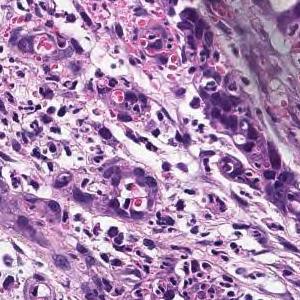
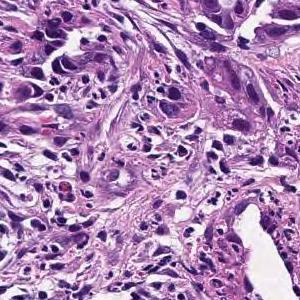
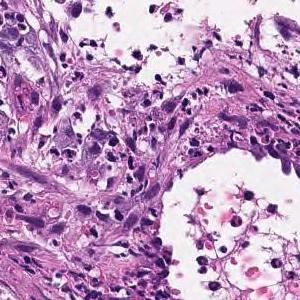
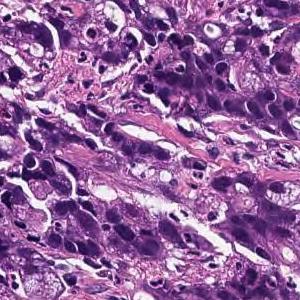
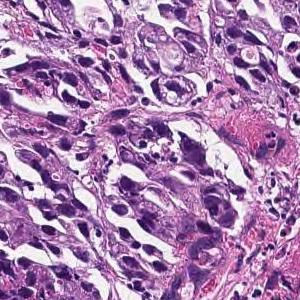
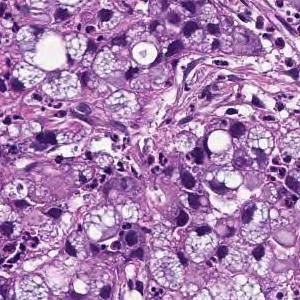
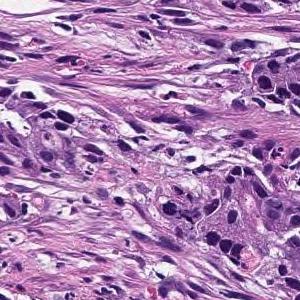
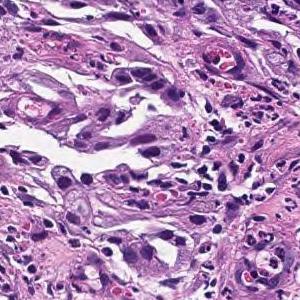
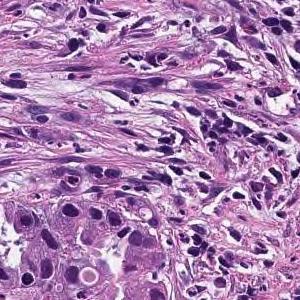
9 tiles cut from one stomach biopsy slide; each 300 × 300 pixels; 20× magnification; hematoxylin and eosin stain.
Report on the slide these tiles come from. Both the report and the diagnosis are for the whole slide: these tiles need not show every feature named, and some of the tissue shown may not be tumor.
Medium to small, irregular glandular ducts are formed in the superficial epithelium, and in some cases, the glandular ducts are fused to show solid alveolar lesions and infiltrating tumor tissue is observed. Moderately to poorly differentiated adenocarcinoma.
